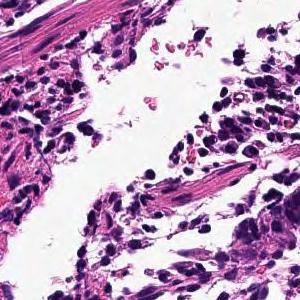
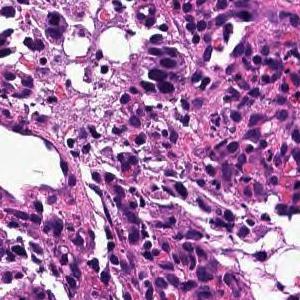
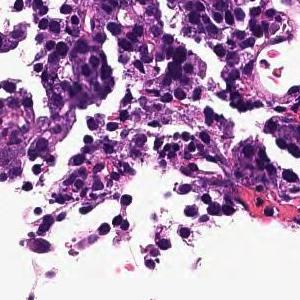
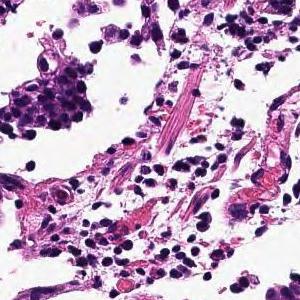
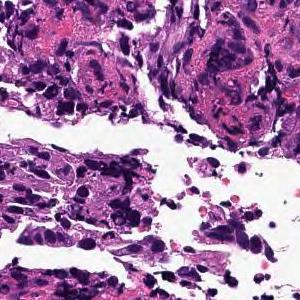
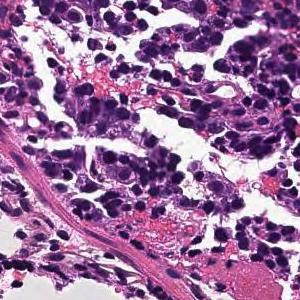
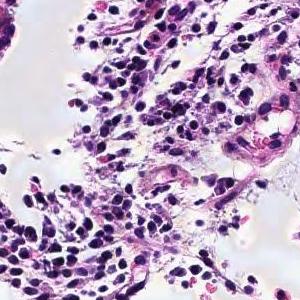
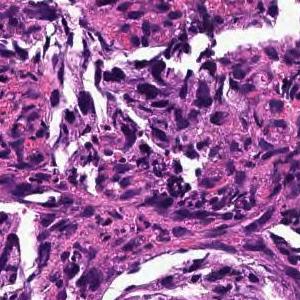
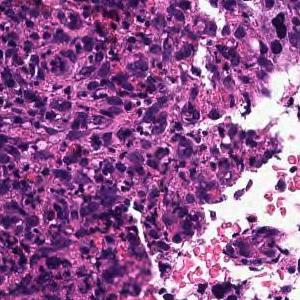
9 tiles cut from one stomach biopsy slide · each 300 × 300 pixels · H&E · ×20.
Pathology report for the slide these tiles were cut from. What the report and the diagnosis say applies to the whole slide; these tiles may miss some of the features named and may include tissue that is not tumor.
In the superficial epithelium, tumor tissue that invades by forming medium-sized to small, irregular ducts is observed. moderately differentiated tubular adenocarcinoma.
